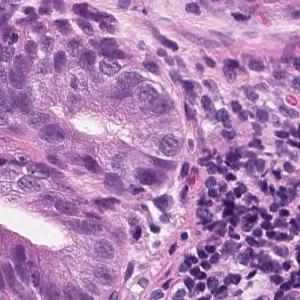
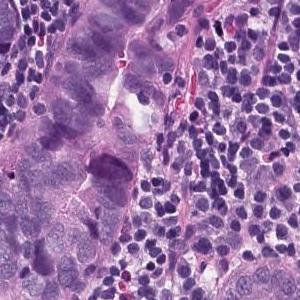
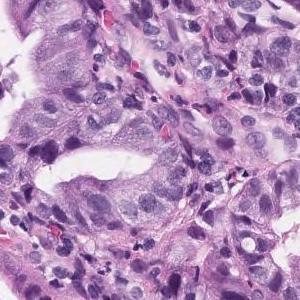
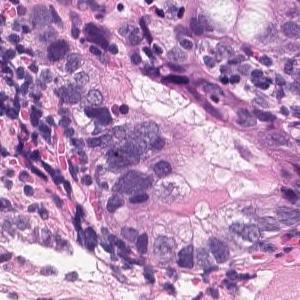
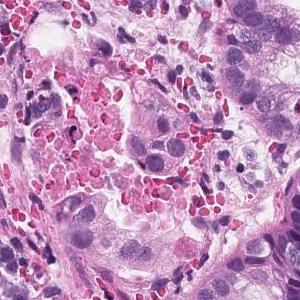
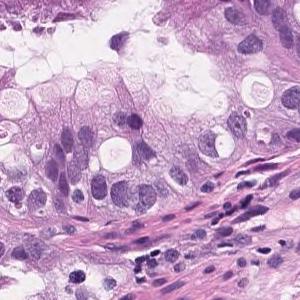
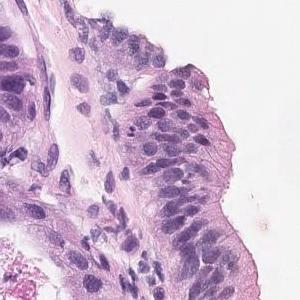
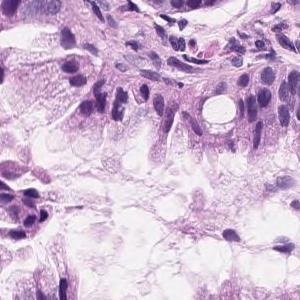
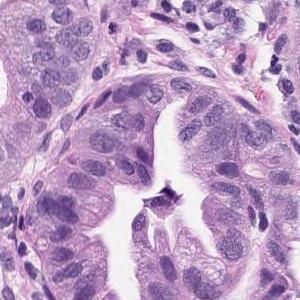
H&E stain · 20× magnification · 9 image tiles from a single gastric biopsy slide.
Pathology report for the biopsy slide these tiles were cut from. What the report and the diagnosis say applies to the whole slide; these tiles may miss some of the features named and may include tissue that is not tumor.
Tumor tissue consisting of medium-sized and irregular ducts is observed infiltrating in the superficial epithelium. Tumor cells are highly columnar, with nuclei aligned basolaterally and polarized. Well differentiated tubular adenocarcinoma.
